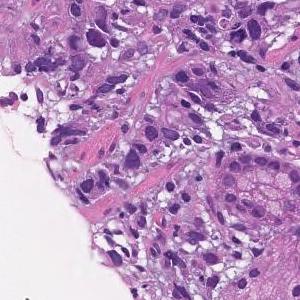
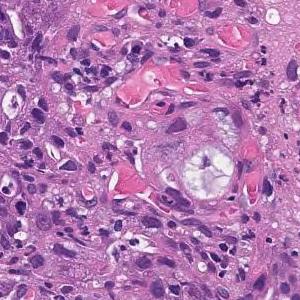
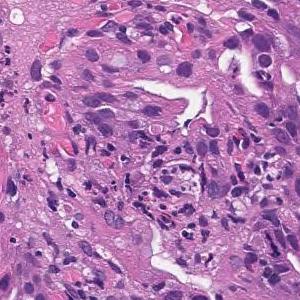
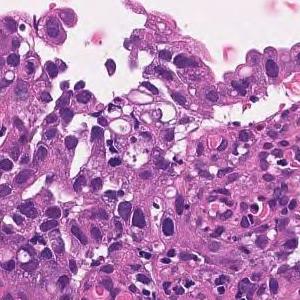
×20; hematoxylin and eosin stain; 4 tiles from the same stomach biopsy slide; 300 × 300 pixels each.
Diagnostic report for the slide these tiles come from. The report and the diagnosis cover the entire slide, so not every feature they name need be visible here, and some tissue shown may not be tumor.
In the superficial epithelium, tumor tissue that invades by forming medium-sized to small, irregular ducts is observed. moderately differentiated tubular adenocarcinoma.
